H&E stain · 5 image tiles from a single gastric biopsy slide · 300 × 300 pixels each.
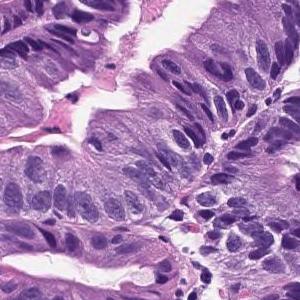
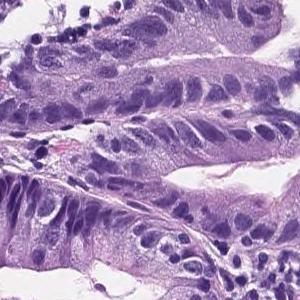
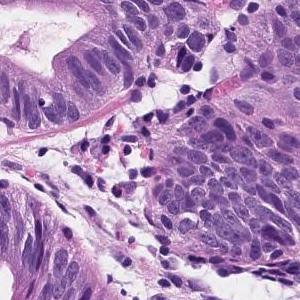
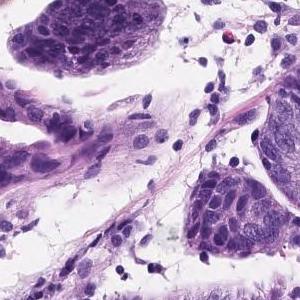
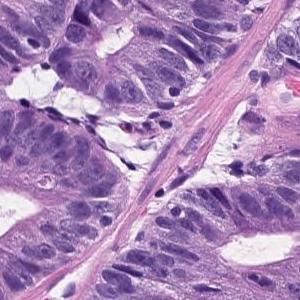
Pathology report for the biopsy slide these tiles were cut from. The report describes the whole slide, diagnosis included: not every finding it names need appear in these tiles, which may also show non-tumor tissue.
Atypical l epithelial cells with nuclear swelling densely forming and growing irregular ducts. Well differentiated tubular adenocarcinoma.
